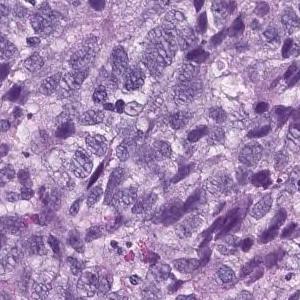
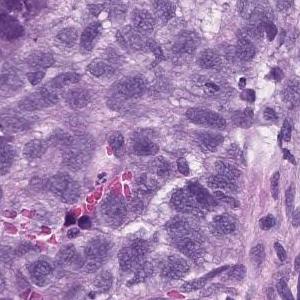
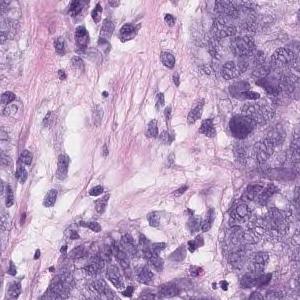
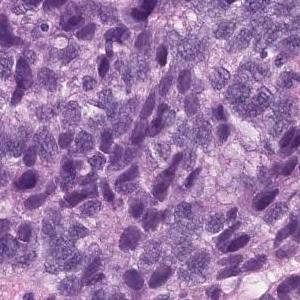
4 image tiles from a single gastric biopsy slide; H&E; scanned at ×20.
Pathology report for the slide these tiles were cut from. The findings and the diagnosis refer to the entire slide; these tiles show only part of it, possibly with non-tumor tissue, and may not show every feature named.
Epithelial cells with swollen nuclei with atypia invasively proliferating while forming vesicles is observed. Poorly differentiated adenocarcinoma
Subtype: Poorly differentiated adenocarcinoma, solid type, a category of the Japanese Classification of Gastric Carcinoma; in the WHO 2019 classification it is tubular adenocarcinoma, poorly differentiated.
